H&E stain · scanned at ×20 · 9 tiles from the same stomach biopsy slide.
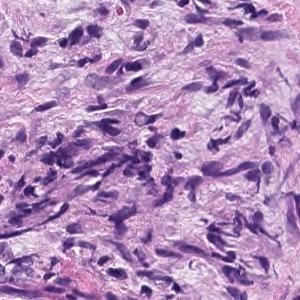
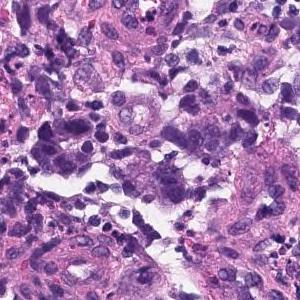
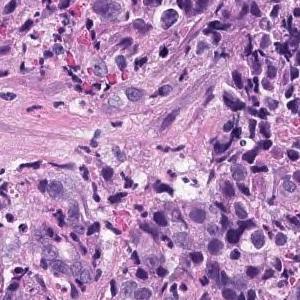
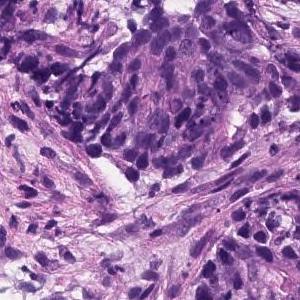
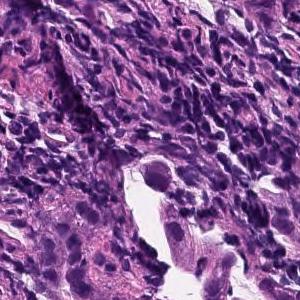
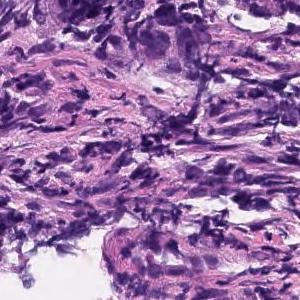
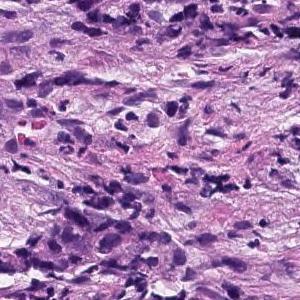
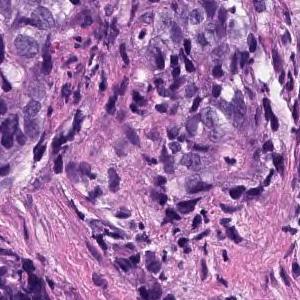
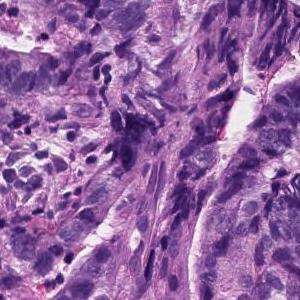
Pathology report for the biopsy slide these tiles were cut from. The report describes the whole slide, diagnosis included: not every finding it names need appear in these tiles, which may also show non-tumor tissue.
Medium to small, irregular glandular ducts are formed in the superficial epithelium, and in some cases, the glandular ducts are fused to show solid alveolar lesions and infiltrating tumor tissue is observed. Moderately to poorly differentiated adenocarcinoma.
